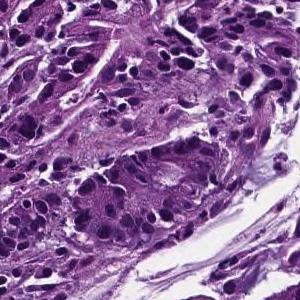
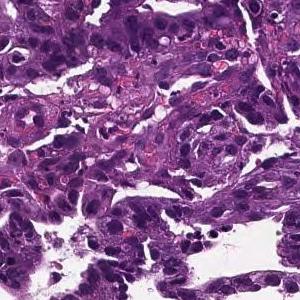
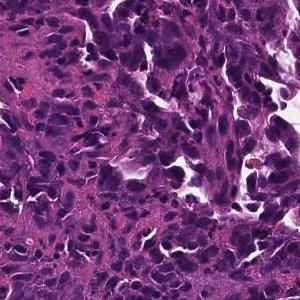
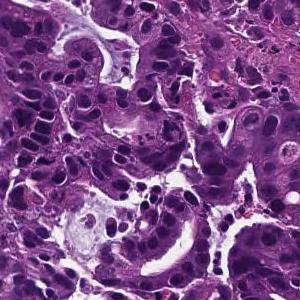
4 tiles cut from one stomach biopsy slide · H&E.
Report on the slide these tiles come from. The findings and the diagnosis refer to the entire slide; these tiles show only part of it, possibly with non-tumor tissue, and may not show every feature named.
On the superficial epithelium, tumor tissue consisting of large irregular glandular ducts partially fused and infiltrated is observed. Well to moderately differentiated tubular adenocarcinoma (well differentiated tubular adenocarcinoma, moderately differentiated tubular adenocarcinoma)
Histological subtype: Well to moderately differentiated tubular adenocarcinoma.
